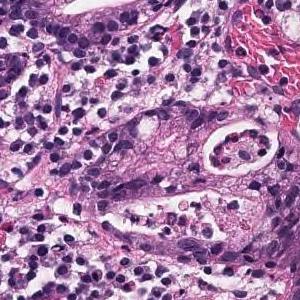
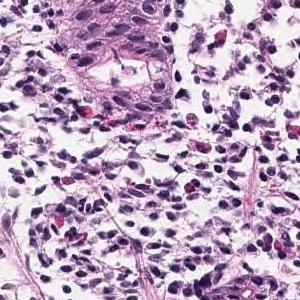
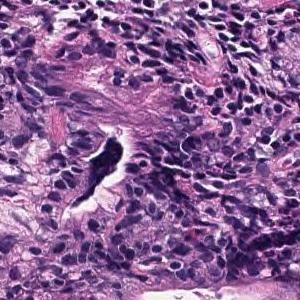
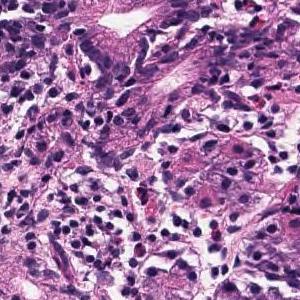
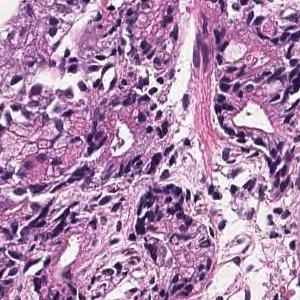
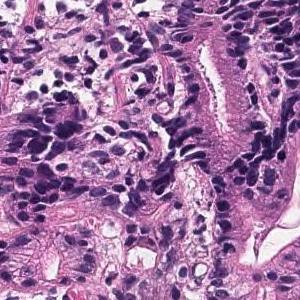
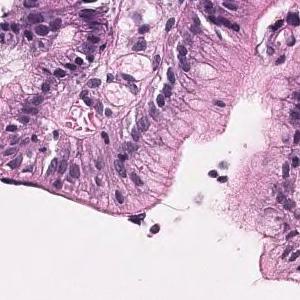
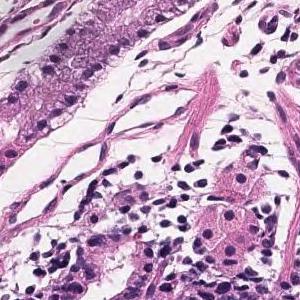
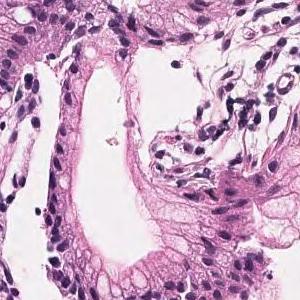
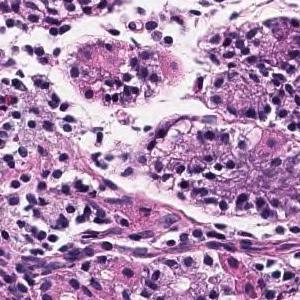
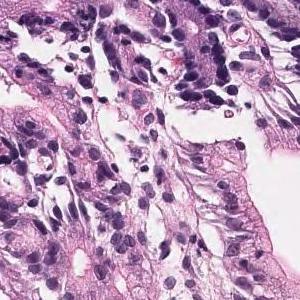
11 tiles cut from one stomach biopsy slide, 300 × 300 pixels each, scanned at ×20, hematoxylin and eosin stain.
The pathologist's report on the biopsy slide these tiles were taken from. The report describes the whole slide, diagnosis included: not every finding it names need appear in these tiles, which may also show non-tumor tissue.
Tumor tissue that grows and grows is observed, showing a medium-sized round or irregular duct. moderately differentiated tubular adenocarcinoma
